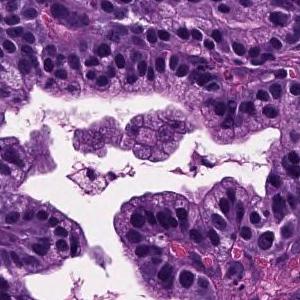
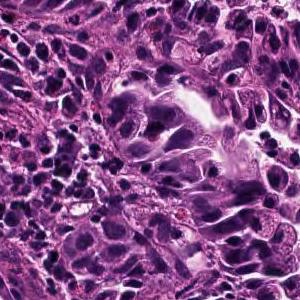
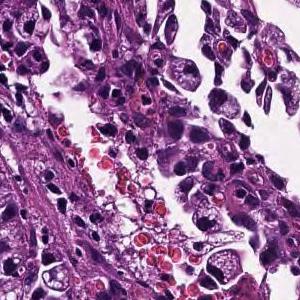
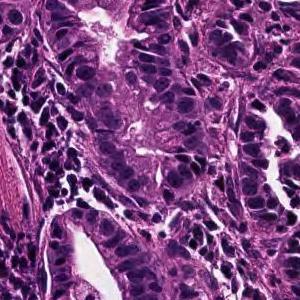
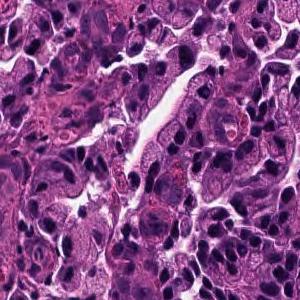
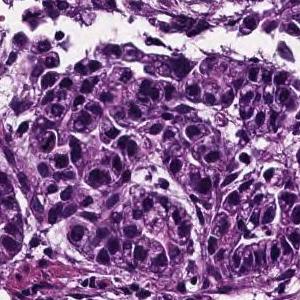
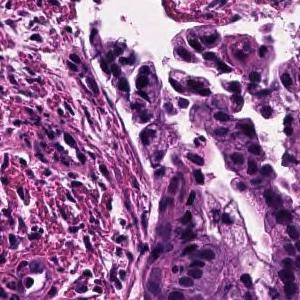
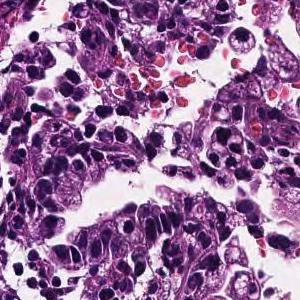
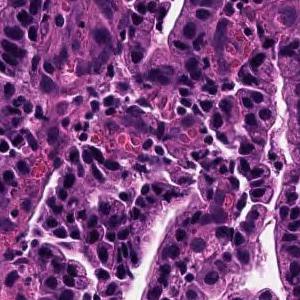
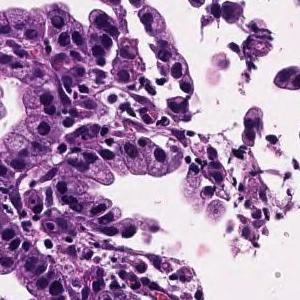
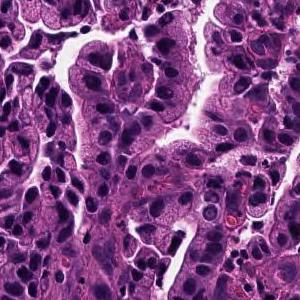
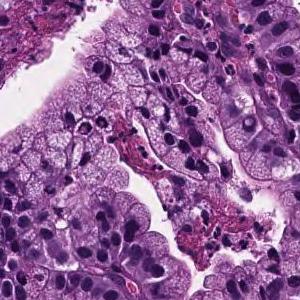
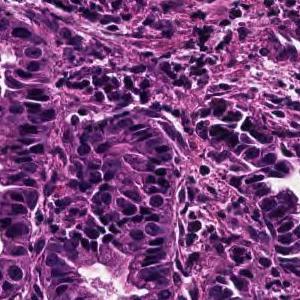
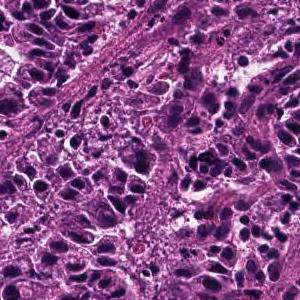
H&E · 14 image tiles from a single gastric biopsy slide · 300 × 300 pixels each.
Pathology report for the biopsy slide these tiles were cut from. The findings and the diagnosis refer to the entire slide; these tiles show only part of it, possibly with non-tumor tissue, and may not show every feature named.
Tumor cells are large, highly columnar, large club-shaped nuclei, and are associated with chromatin aggregation. Papillary adenocarcinoma.
